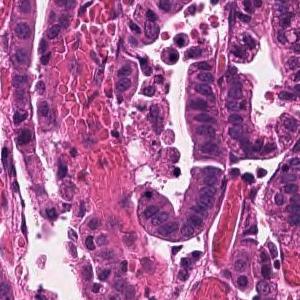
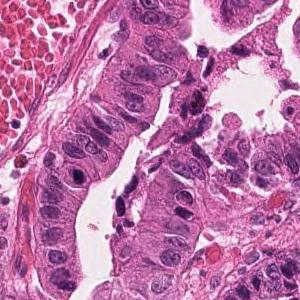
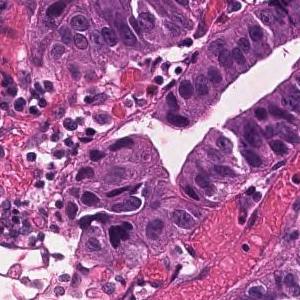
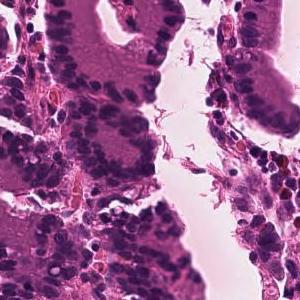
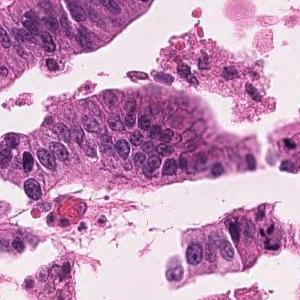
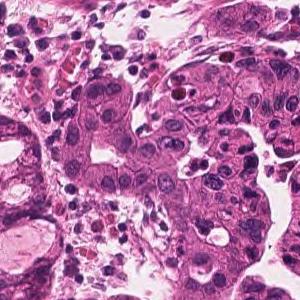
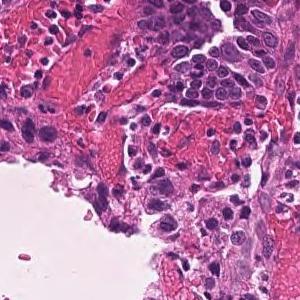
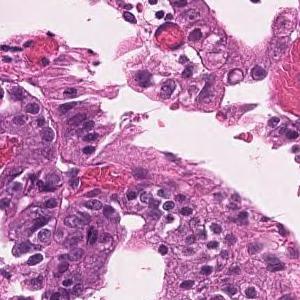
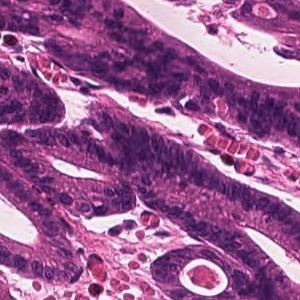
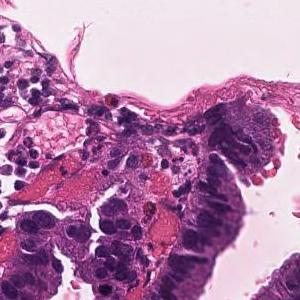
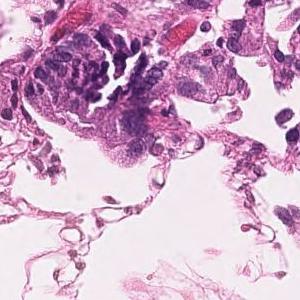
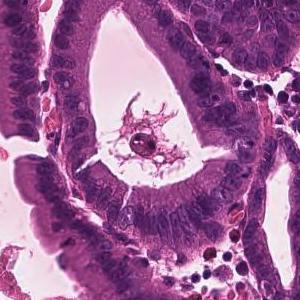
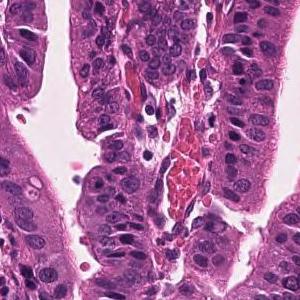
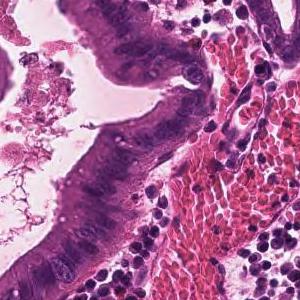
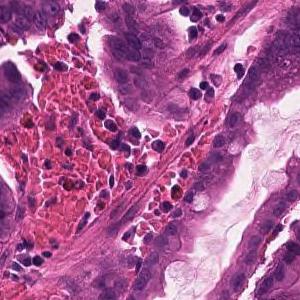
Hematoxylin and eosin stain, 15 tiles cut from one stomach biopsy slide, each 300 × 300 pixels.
The pathologist's report on the biopsy slide these tiles were taken from. The report and the diagnosis cover the entire slide, so not every feature they name need be visible here, and some tissue shown may not be tumor.
Infiltrating tumor tissue with medium-sized, irregular ductal structure or large papillary appearance is observed. Well differentiated tubular adenocarcinoma
